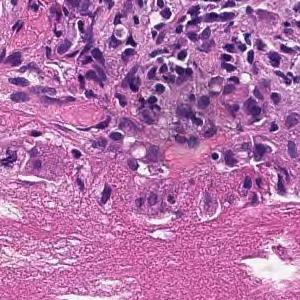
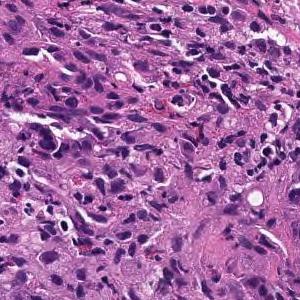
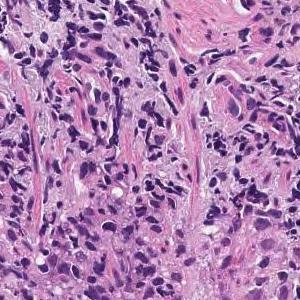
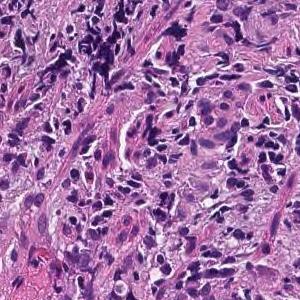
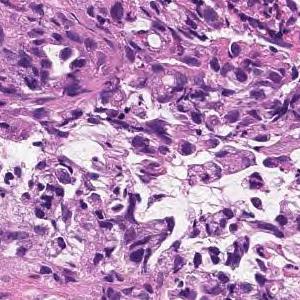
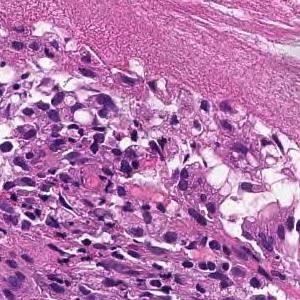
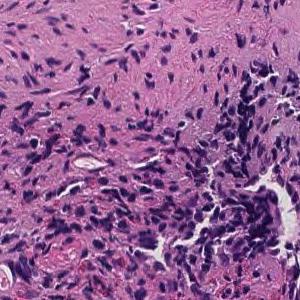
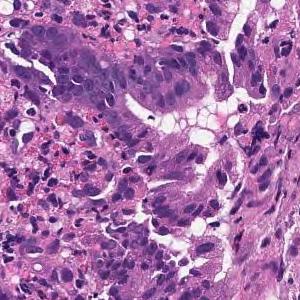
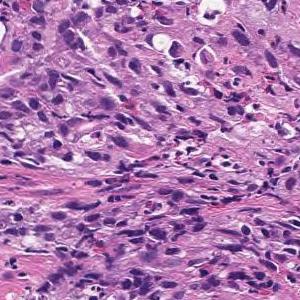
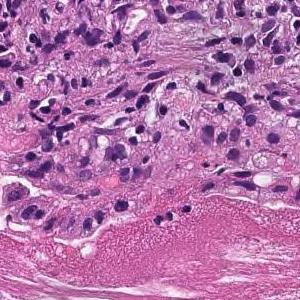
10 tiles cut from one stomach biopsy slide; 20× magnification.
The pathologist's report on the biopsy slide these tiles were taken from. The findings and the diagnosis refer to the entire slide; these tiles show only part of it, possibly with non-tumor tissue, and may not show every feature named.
Tumor tissue consisting of cord-like or small, irregular glandular ducts fused and infiltrated is observed in the superficial epithelium. Poorly differentiated adenocarcinoma, non-solid type
"Non-solid type" is a category of the Japanese Classification of Gastric Carcinoma.
